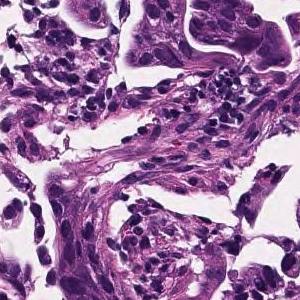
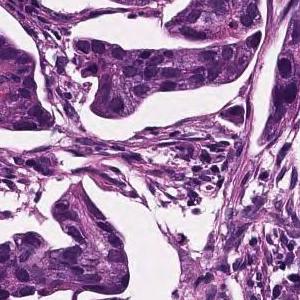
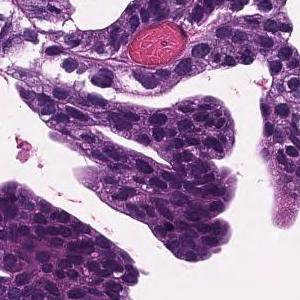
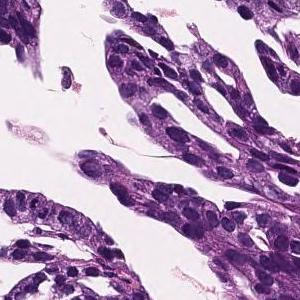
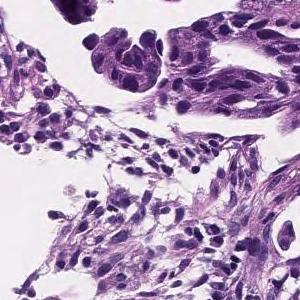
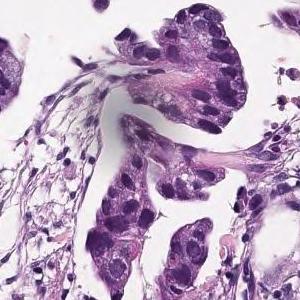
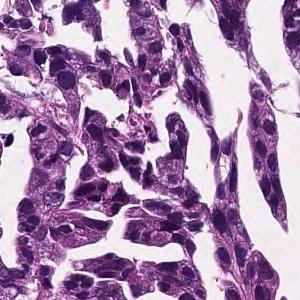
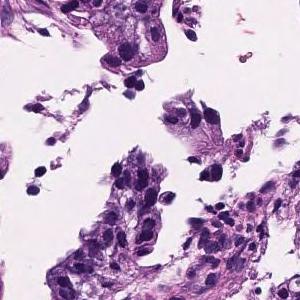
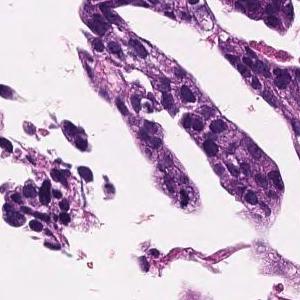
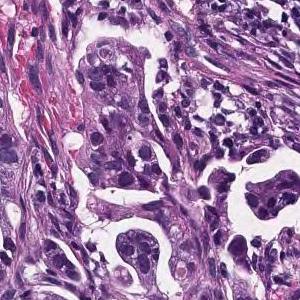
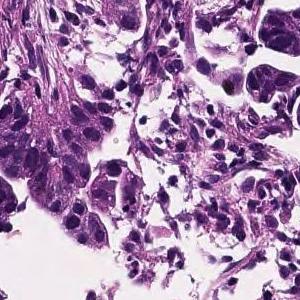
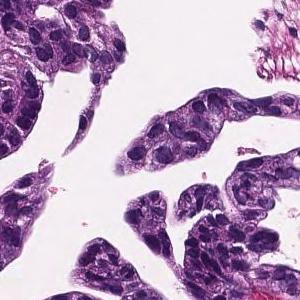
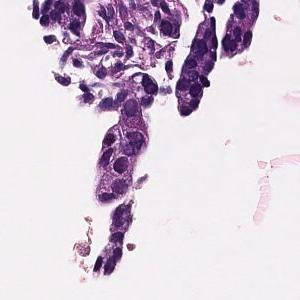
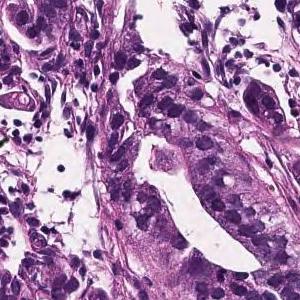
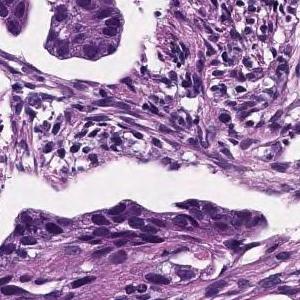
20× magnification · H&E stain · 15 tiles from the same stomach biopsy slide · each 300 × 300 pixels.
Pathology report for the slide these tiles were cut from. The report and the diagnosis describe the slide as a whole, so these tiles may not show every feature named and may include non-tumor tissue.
In the lamina propria, tumor tissue that invades by forming medium-sized to small, irregular glandular ducts is observed. moderately differentiated tubular adenocarcinoma
